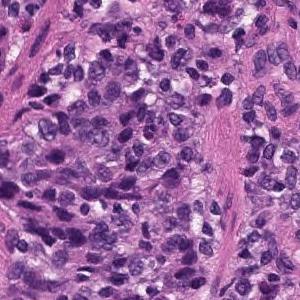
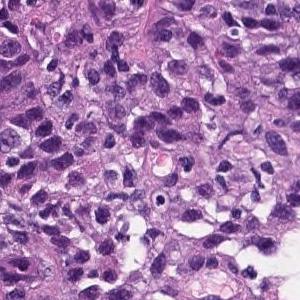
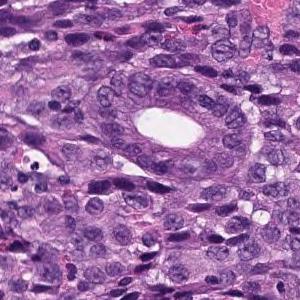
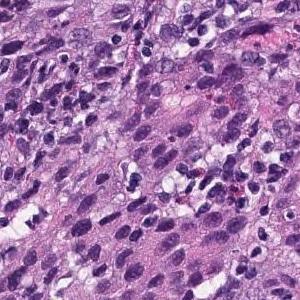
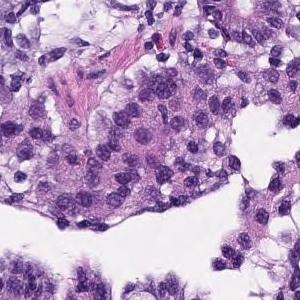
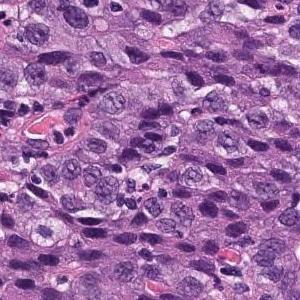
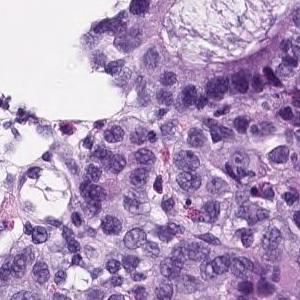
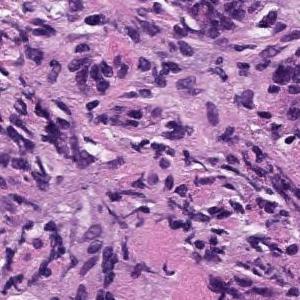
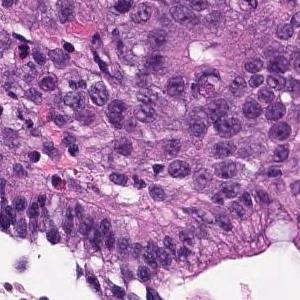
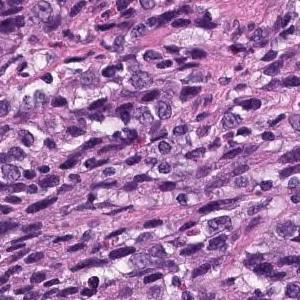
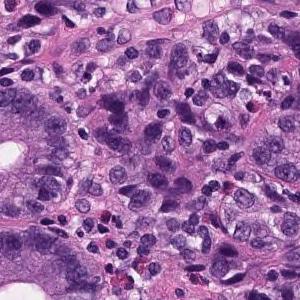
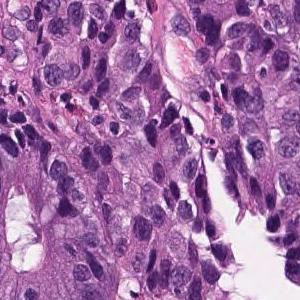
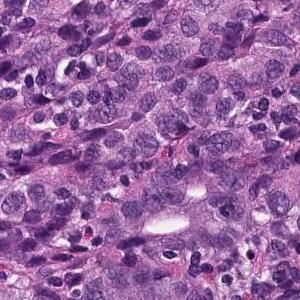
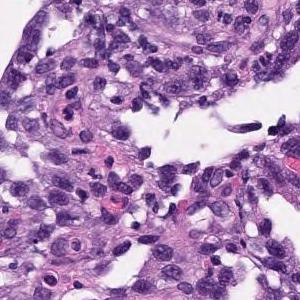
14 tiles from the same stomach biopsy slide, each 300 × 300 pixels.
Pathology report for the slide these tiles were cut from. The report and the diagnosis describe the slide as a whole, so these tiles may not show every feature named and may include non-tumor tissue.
In the superficial epithelium, tumor tissue that invades by forming medium-sized to small, irregular ducts is observed. Moderately differentiated adenocarcinoma.
Classified as moderately differentiated tubular adenocarcinoma.
